10 image tiles from a single gastric biopsy slide · 300 × 300 pixels each.
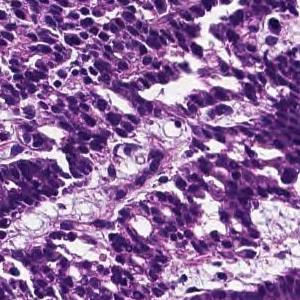
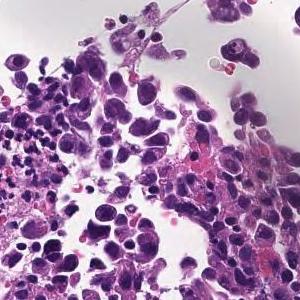
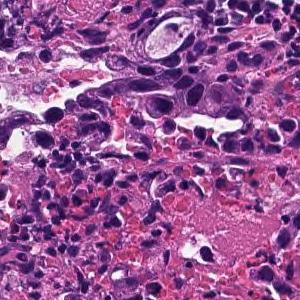
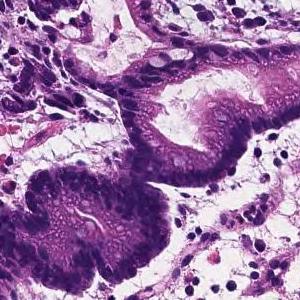
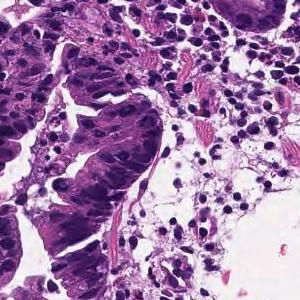
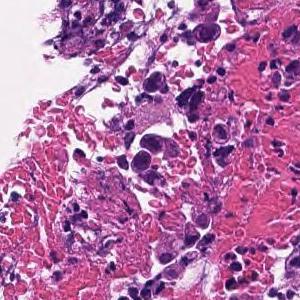
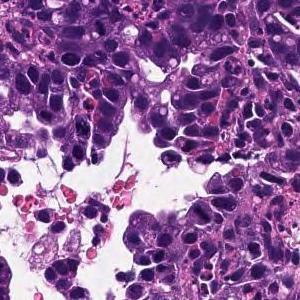
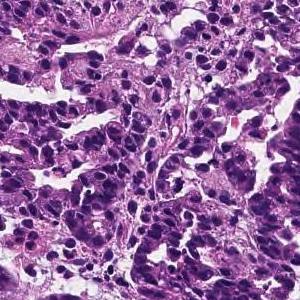
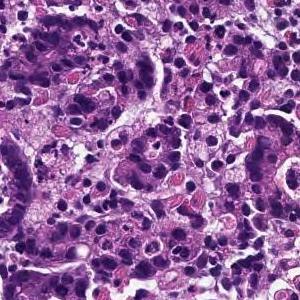
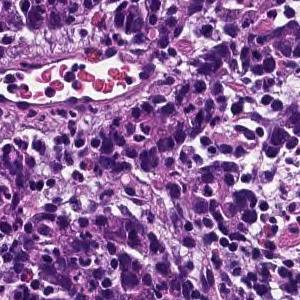
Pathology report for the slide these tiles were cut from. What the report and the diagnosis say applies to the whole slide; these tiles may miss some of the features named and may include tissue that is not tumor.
In the superficial epithelium, tumor tissue that invades by forming medium-sized to small, irregular ducts is observed. moderately differentiated tubular adenocarcinoma.
